14 tiles cut from one stomach biopsy slide, 300 × 300 pixels each, scanned at ×20, H&E.
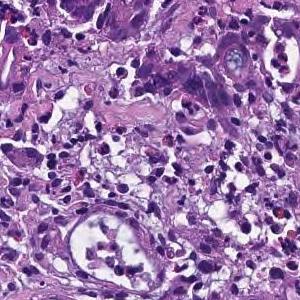
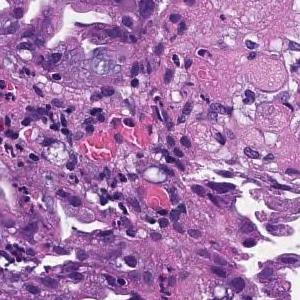
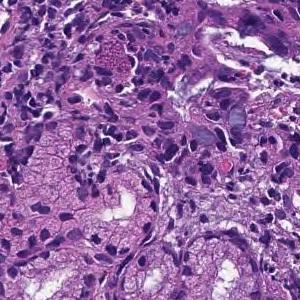
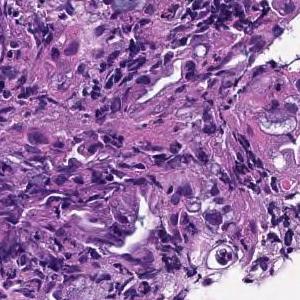
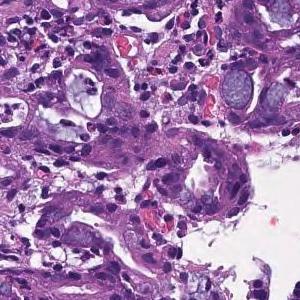
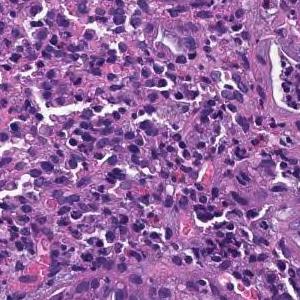
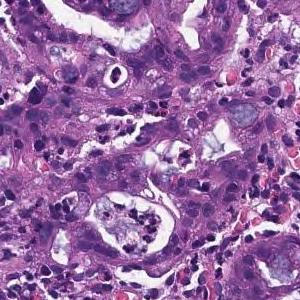
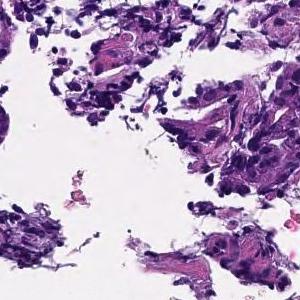
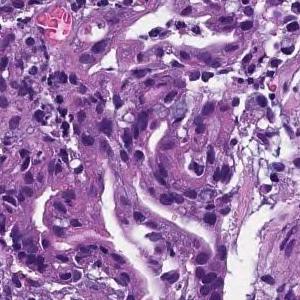
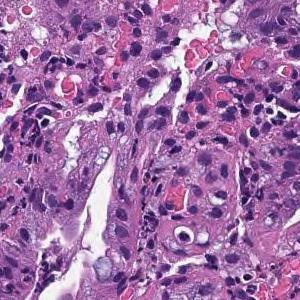
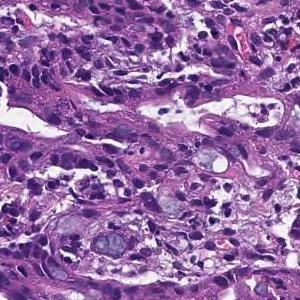
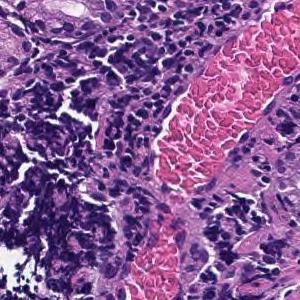
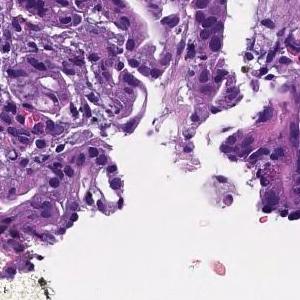
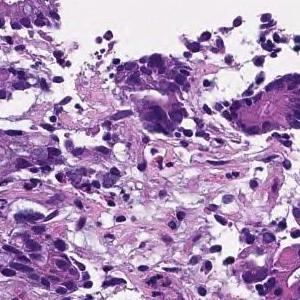
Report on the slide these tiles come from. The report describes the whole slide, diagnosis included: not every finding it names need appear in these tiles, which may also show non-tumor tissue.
In the superficial epithelium, tumor tissue that invades by forming medium-sized to small, irregular ducts is observed. moderately differentiated tubular adenocarcinoma.
